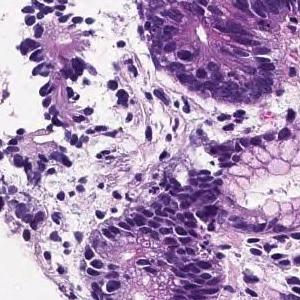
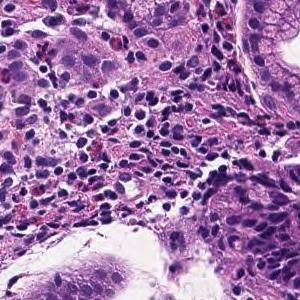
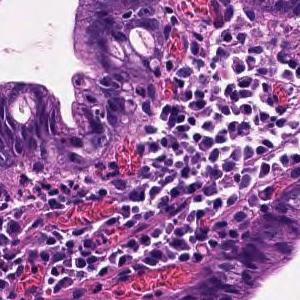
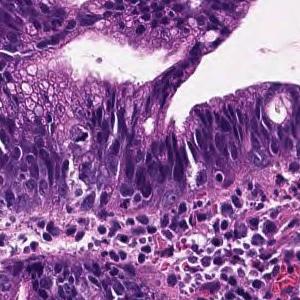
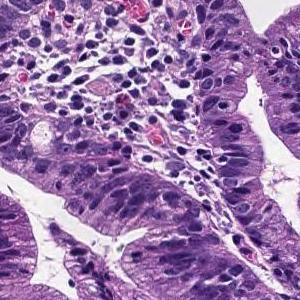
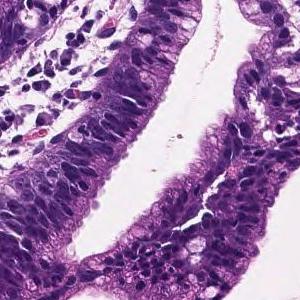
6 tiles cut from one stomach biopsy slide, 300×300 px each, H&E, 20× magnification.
Report on the slide these tiles come from. Both the report and the diagnosis are for the whole slide: these tiles need not show every feature named, and some of the tissue shown may not be tumor.
From the superficial epithelium to the muscularis mucosae, tumor tissue consisting of medium-sized and irregular glandular ducts infiltrating is observed. Well differentiated tubular adenocarcinoma
